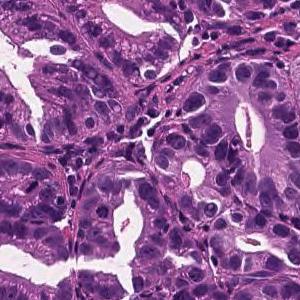
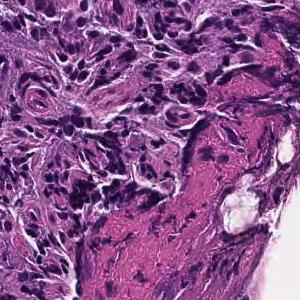
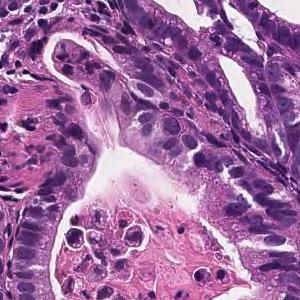
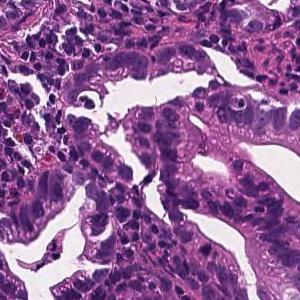
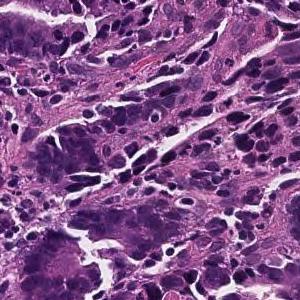
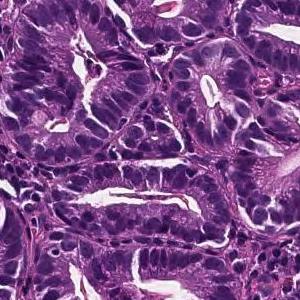
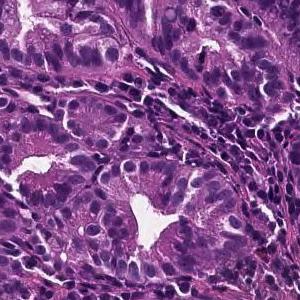
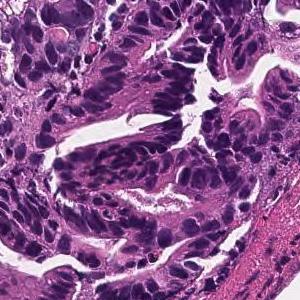
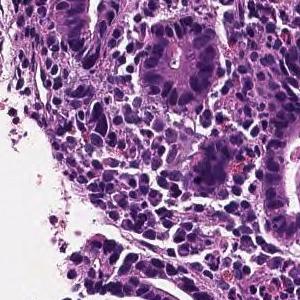
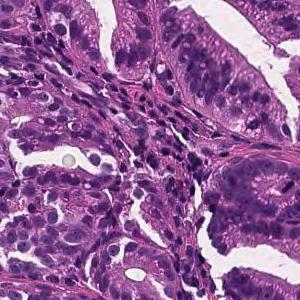
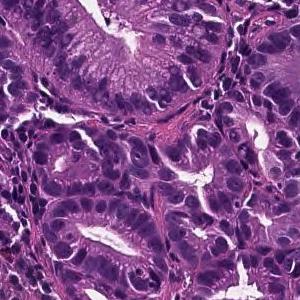
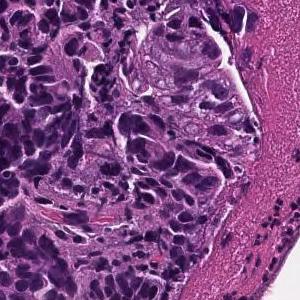
H&E stain · ×20 · 12 patches cut from one gastric biopsy slide · each 300 × 300 pixels.
The pathologist's report on the biopsy slide these tiles were taken from. The report and the diagnosis cover the entire slide, so not every feature they name need be visible here, and some tissue shown may not be tumor.
On the superficial epithelium, tumor tissue consisting of large irregular glandular ducts partially fused and infiltrated is observed. Well to moderately differentiated tubular adenocarcinoma (well differentiated tubular adenocarcinoma, moderately differentiated tubular adenocarcinoma)
Subtype: Well to moderately differentiated tubular adenocarcinoma.
